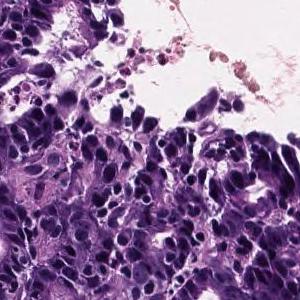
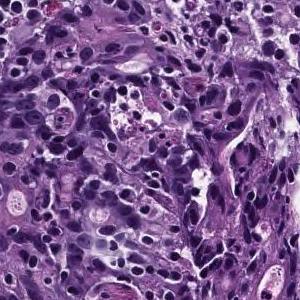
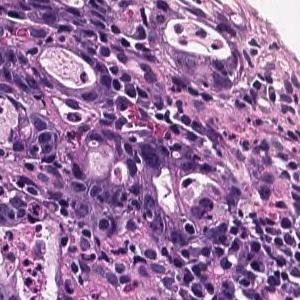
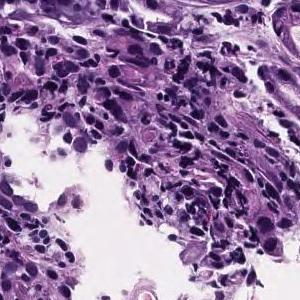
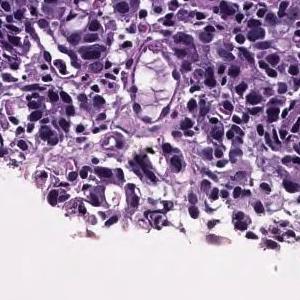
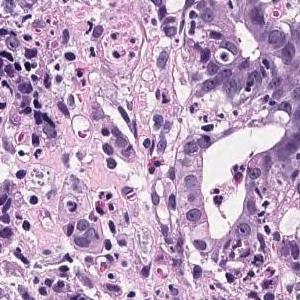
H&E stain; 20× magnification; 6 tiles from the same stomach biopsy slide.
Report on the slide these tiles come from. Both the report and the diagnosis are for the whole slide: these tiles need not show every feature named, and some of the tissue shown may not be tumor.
In the superficial epithelium, tumor tissue that invades by forming medium-sized to small, irregular ducts is observed. moderately differentiated tubular adenocarcinoma.
